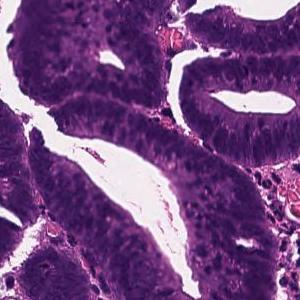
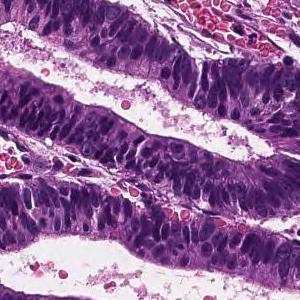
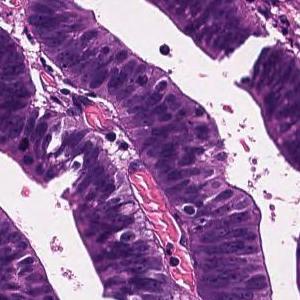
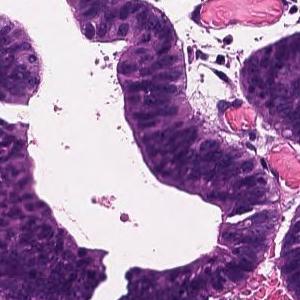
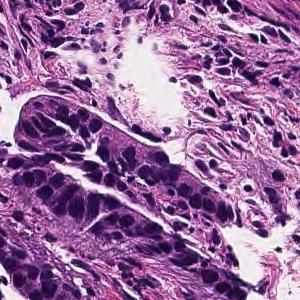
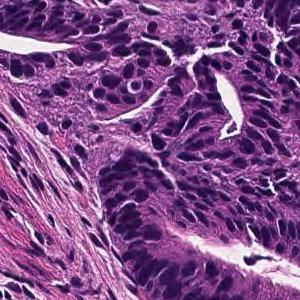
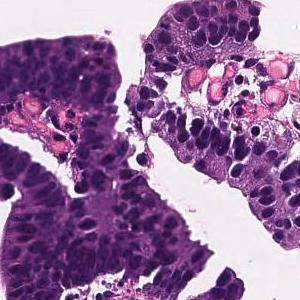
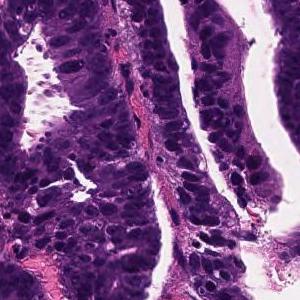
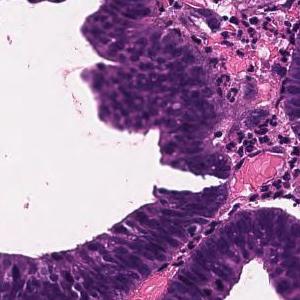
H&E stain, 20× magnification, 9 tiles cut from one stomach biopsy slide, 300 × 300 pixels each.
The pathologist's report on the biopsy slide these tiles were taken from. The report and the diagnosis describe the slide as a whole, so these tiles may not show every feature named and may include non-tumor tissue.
Tumor tissue consisting of large papillary structures is found in the superficial epithelium. Papillary adenocarcinoma.
